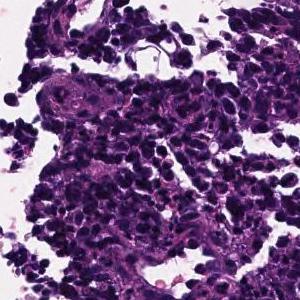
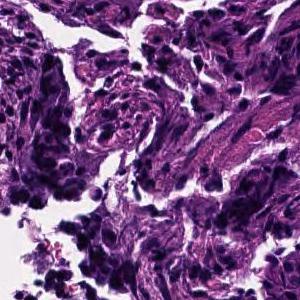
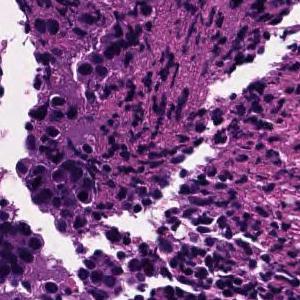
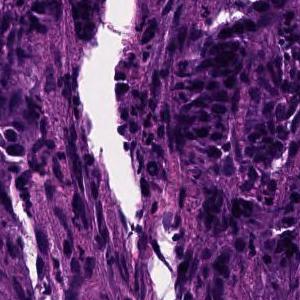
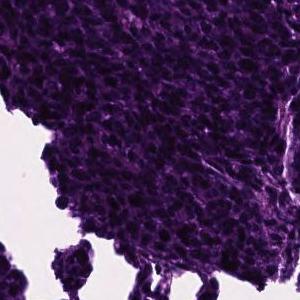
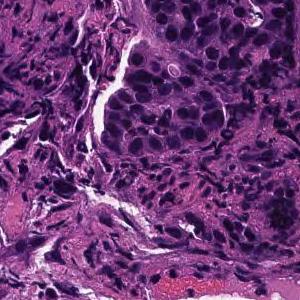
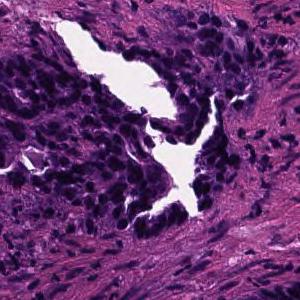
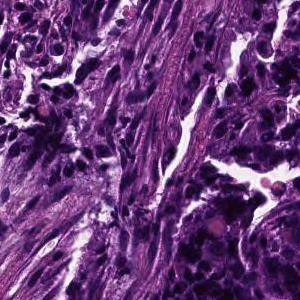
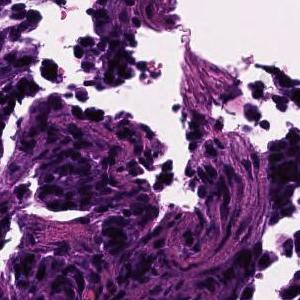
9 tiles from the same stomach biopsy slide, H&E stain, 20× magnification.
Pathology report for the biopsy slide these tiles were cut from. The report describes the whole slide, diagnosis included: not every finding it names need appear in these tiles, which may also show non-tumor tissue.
In the superficial epithelium, tumor tissue that invades by forming medium-sized to small, irregular ducts is observed. moderately differentiated tubular adenocarcinoma.
